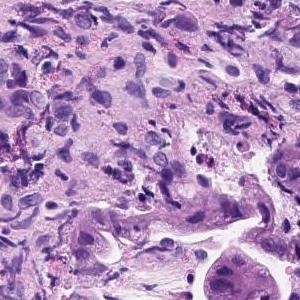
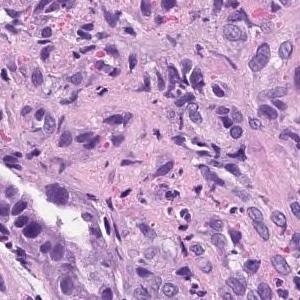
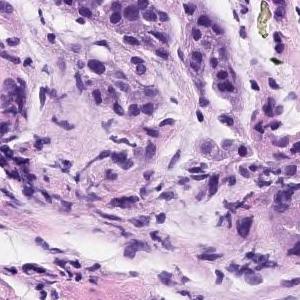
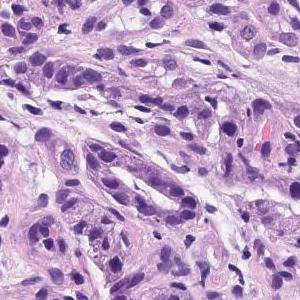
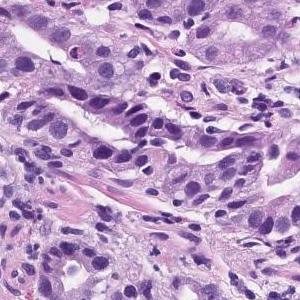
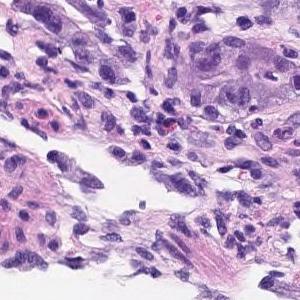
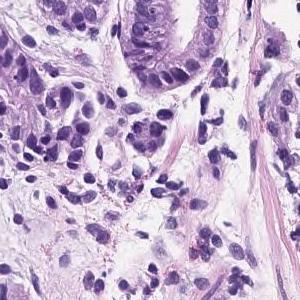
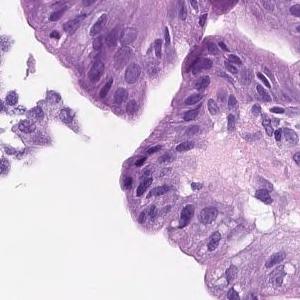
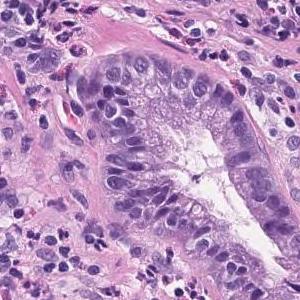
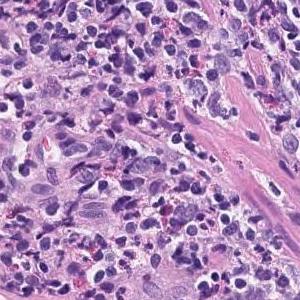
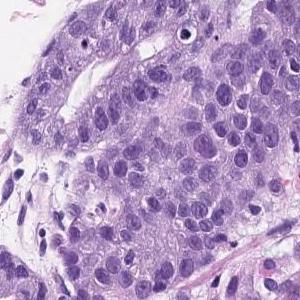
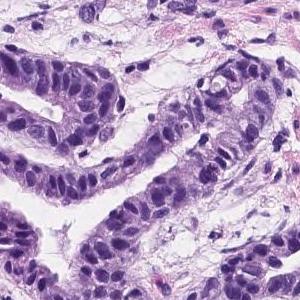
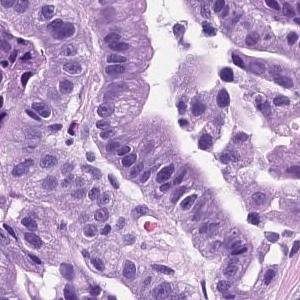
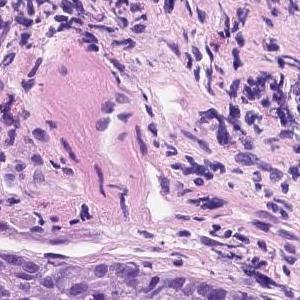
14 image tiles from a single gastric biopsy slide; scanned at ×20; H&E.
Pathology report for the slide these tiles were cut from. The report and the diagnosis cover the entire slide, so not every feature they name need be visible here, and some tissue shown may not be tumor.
Tumor tissue consisting of medium-sized and irregular ducts is observed infiltrating in the superficial epithelium. Tumor cells are highly columnar, with nuclei aligned basolaterally and polarized. Well differentiated tubular adenocarcinoma.
